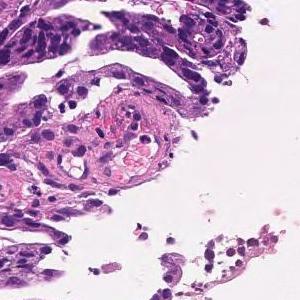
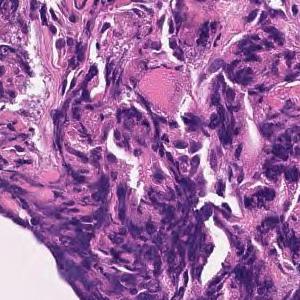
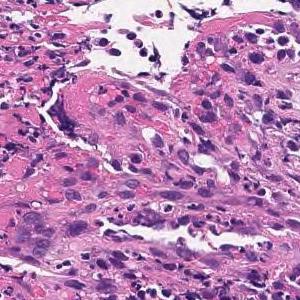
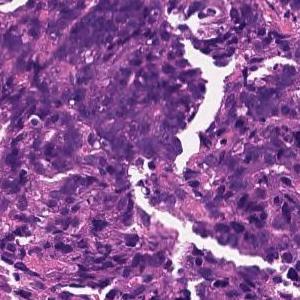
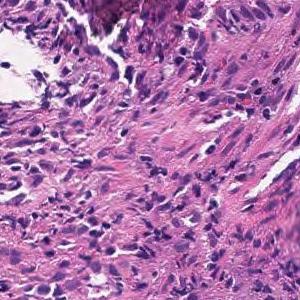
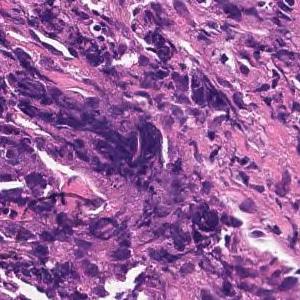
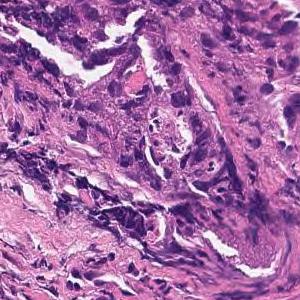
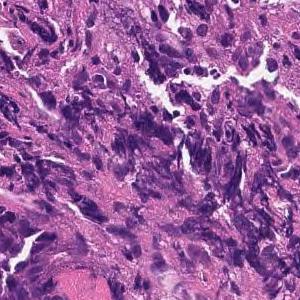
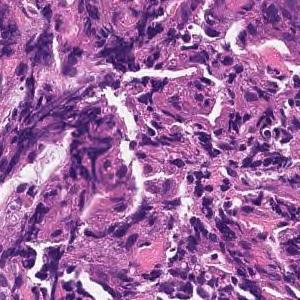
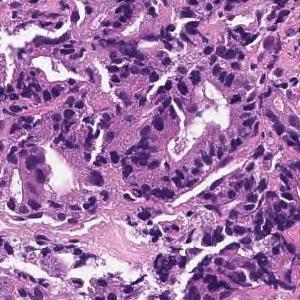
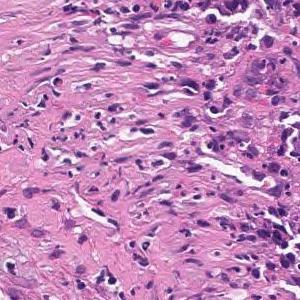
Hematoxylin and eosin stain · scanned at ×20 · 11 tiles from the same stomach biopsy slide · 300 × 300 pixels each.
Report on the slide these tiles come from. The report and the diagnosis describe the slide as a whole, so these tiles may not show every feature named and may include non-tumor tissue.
Tumor tissue consisting of medium-sized, cord-like or irregular glandular infiltration is observed in the superficial epithelium. Poorly differentiated adenocarcinoma, non-solid type or moderately differentiated tubular adenocarcinoma
Classified as moderately to poorly differentiated adenocarcinoma.
The term "non-solid type" comes from the Japanese Classification of Gastric Carcinoma.
